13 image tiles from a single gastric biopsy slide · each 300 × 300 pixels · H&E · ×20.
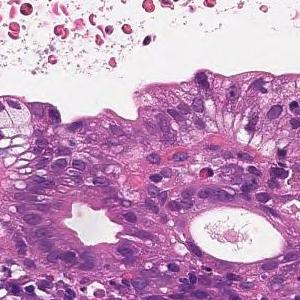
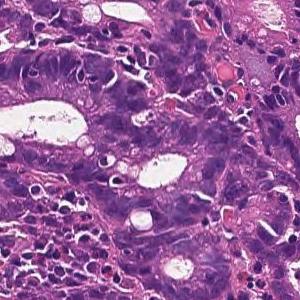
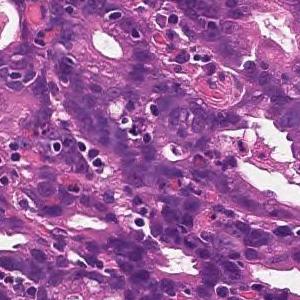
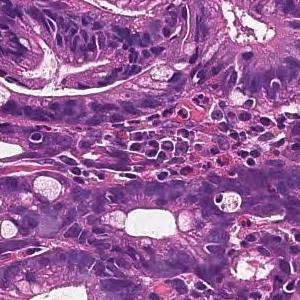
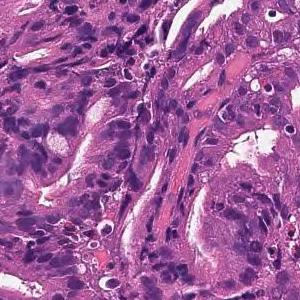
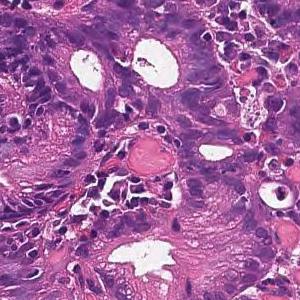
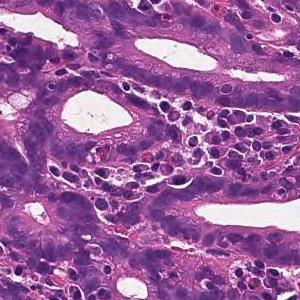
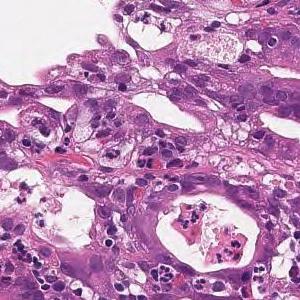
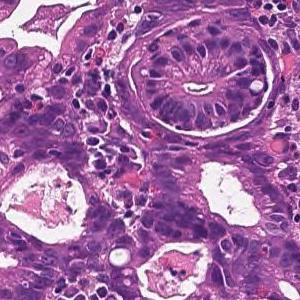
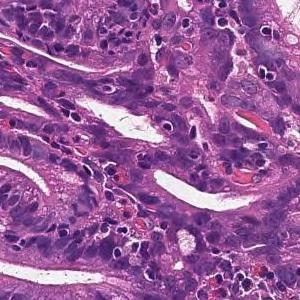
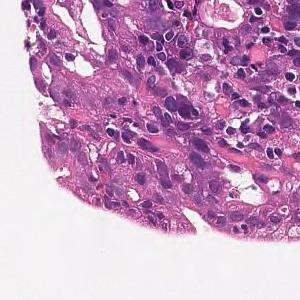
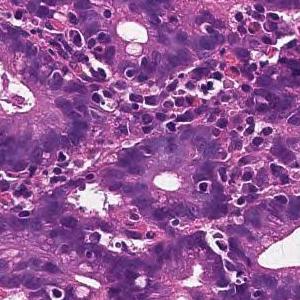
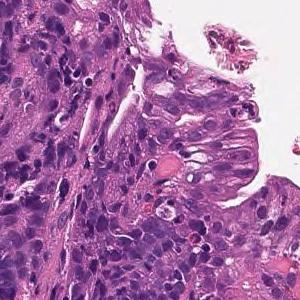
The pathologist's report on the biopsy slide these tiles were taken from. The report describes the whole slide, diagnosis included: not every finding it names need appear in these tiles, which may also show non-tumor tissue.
From the superficial epithelium to the muscularis mucosae, tumor tissue consisting of medium-sized and irregular glandular ducts infiltrating is observed. Well differentiated tubular adenocarcinoma
